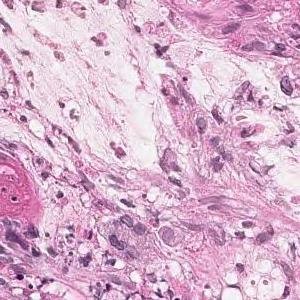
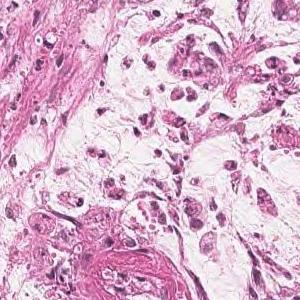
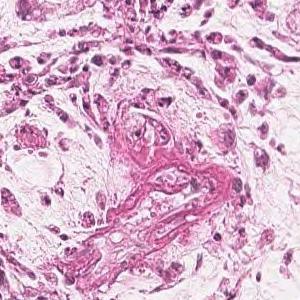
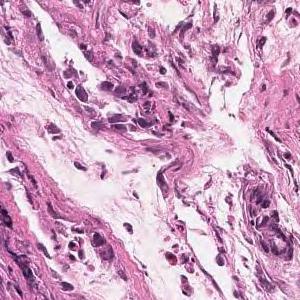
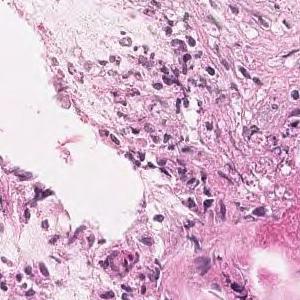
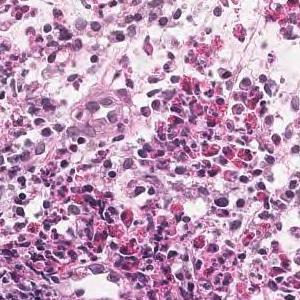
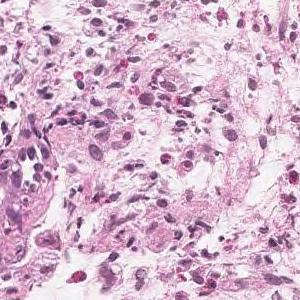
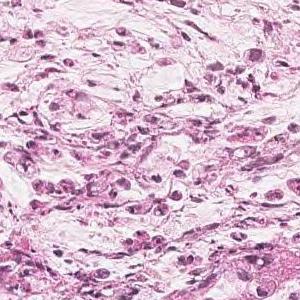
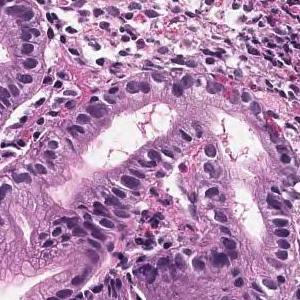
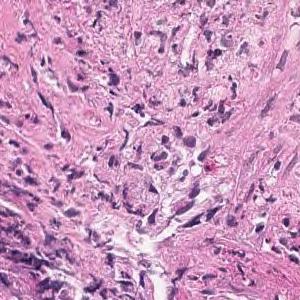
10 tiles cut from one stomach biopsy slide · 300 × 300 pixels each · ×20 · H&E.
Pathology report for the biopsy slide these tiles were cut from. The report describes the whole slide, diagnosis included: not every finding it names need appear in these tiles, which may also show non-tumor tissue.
Tumor tissue is observed in which atypical epithelial cells with mucus in the vesicles proliferate while being isolated. Signet ring cell carcinoma
